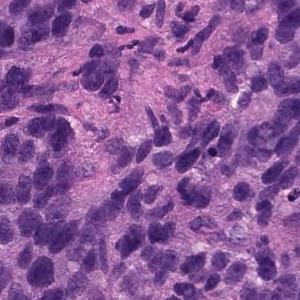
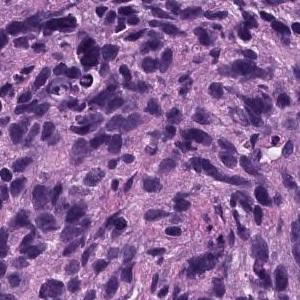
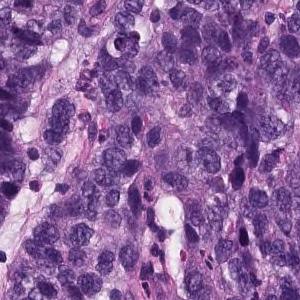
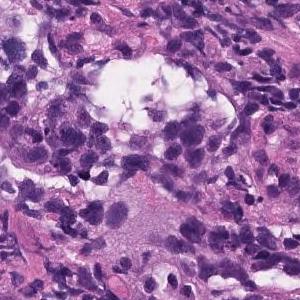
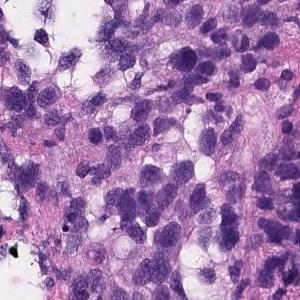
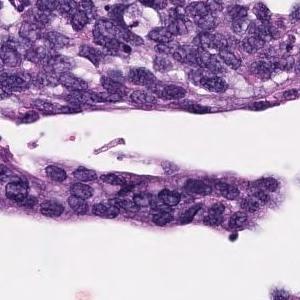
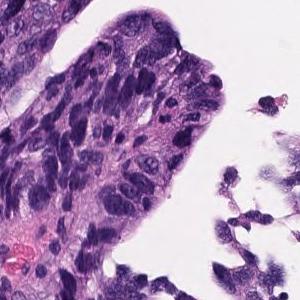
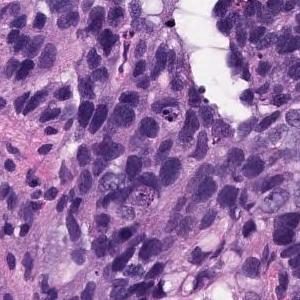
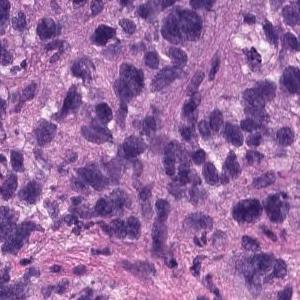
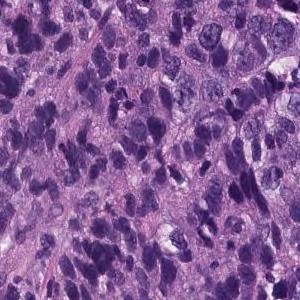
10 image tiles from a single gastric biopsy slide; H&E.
Pathology report for the slide these tiles were cut from. The report describes the whole slide, diagnosis included: not every finding it names need appear in these tiles, which may also show non-tumor tissue.
Atypical l cells with atypical nuclei under the mucosa growing in isolation and scattered. Poorly differentiated adenocarcinoma (poorly differentiated adenocarcinoma, non-solid type)
Tumor subtype: poorly differentiated adenocarcinoma, non-solid type.
The non-solid type named here is a Japanese Classification of Gastric Carcinoma category.
